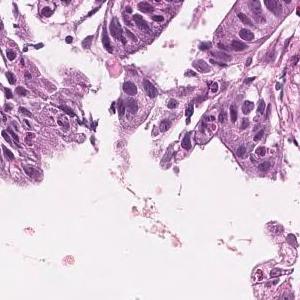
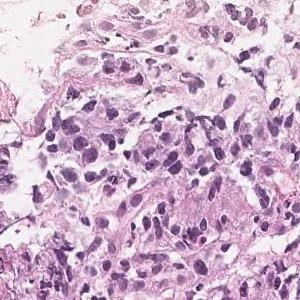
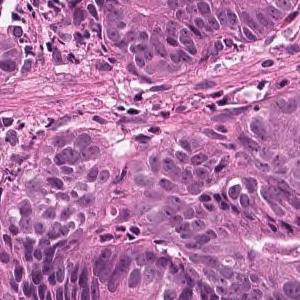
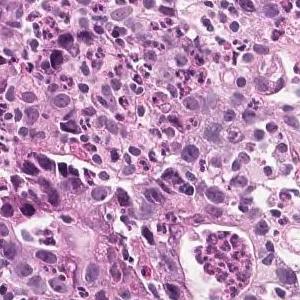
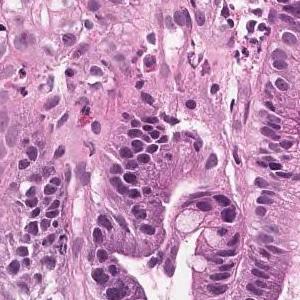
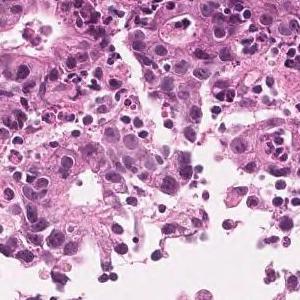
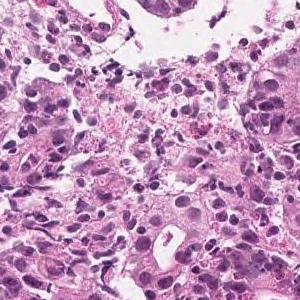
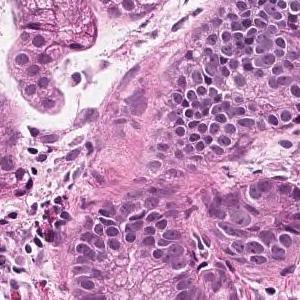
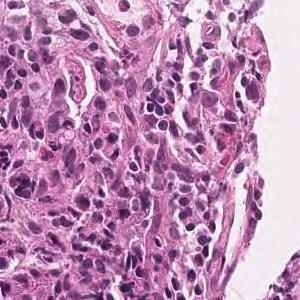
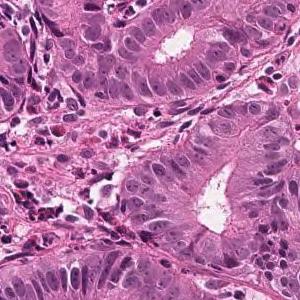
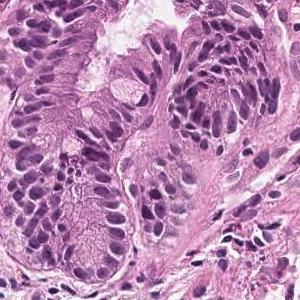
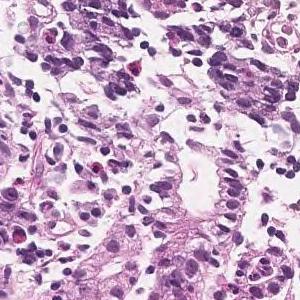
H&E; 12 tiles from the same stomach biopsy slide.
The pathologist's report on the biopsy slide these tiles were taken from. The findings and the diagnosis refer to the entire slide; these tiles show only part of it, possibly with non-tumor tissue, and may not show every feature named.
On the superficial epithelium, tumor tissue consisting of large, irregular glandular ducts partially fused and infiltrated is observed. Well to moderately differentiated tubular adenocarcinoma (well differentiated tubular adenocarcinoma, moderately differentiated tubular adenocarcinoma)
Histological subtype: Well to moderately differentiated tubular adenocarcinoma.
